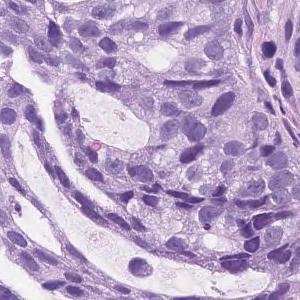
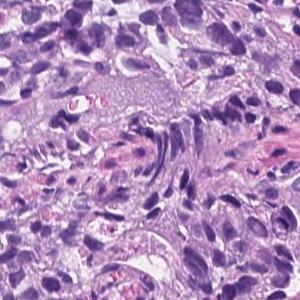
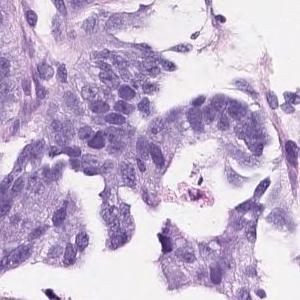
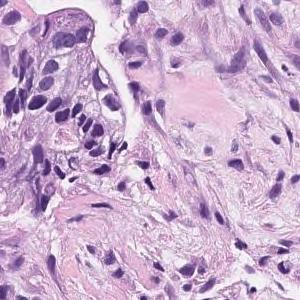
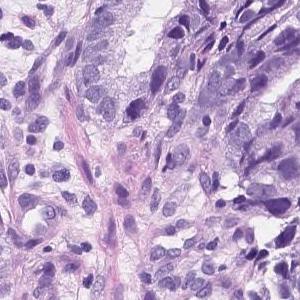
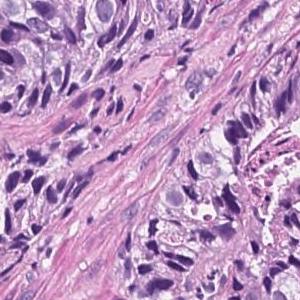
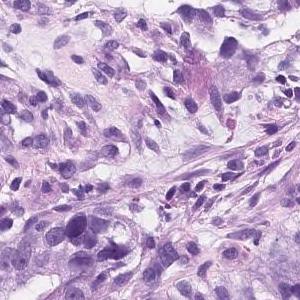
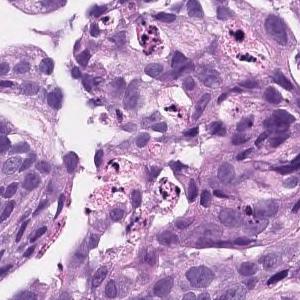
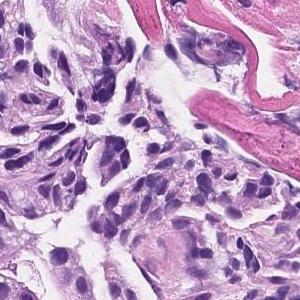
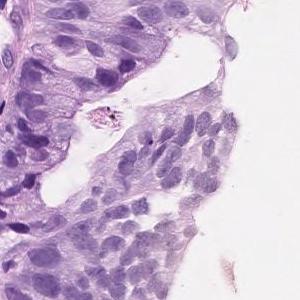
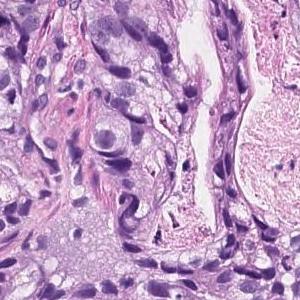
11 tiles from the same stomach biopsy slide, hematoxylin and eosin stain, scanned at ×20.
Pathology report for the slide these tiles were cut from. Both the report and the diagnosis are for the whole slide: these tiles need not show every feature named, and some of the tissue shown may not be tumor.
On the superficial epithelium, tumor tissue consisting of an image of large, irregular glandular ducts partially fused and infiltrated is observed. Well to moderately differentiated tubular adenocarcinoma
